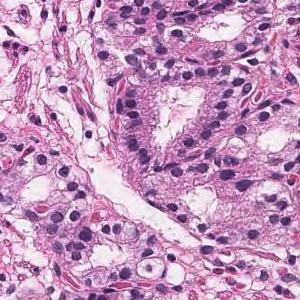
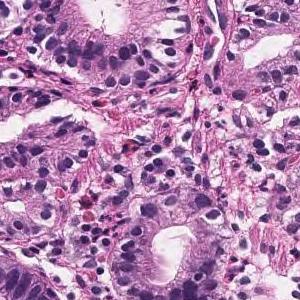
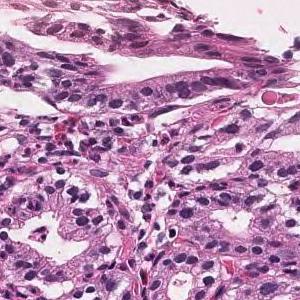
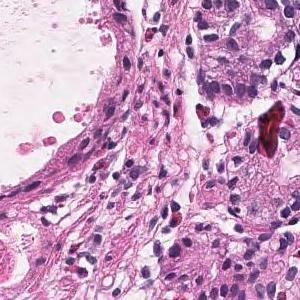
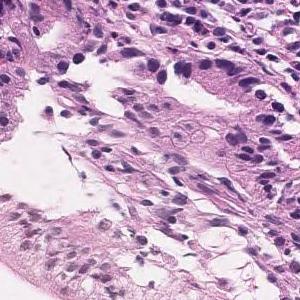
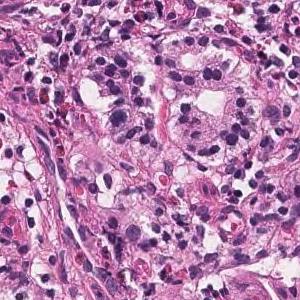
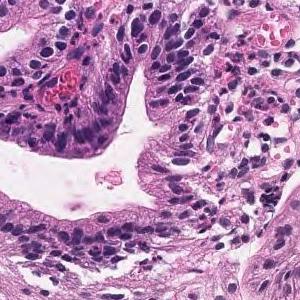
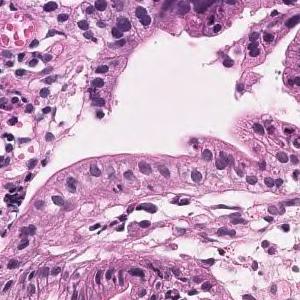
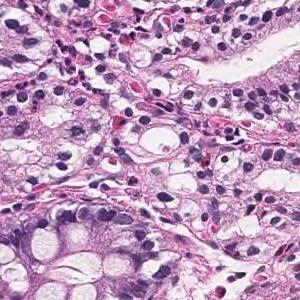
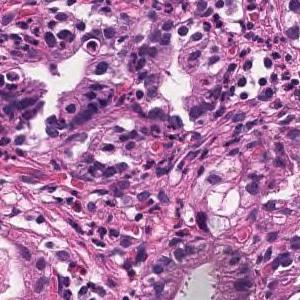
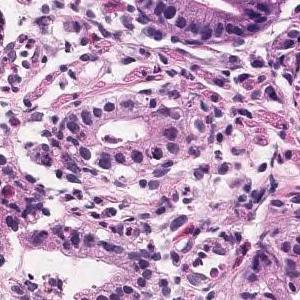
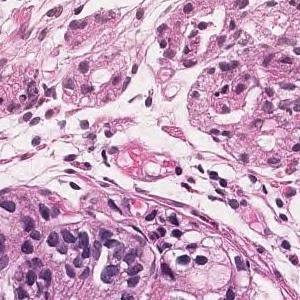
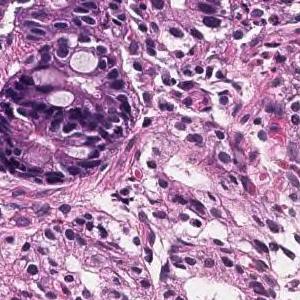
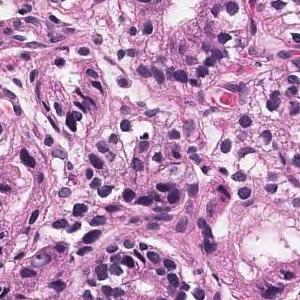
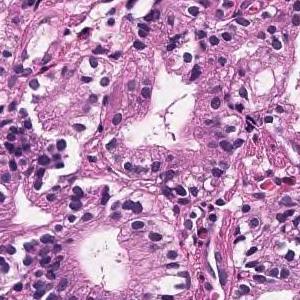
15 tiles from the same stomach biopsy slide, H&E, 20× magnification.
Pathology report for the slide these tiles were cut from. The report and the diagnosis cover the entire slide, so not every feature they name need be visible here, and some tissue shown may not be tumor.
On the superficial epithelium, tumor tissue consisting of large, irregular glandular ducts partially fused and infiltrated is observed. Well differentiated tubular adenocarcinoma
